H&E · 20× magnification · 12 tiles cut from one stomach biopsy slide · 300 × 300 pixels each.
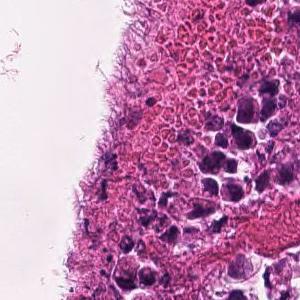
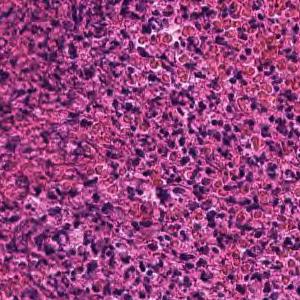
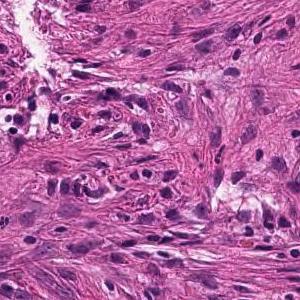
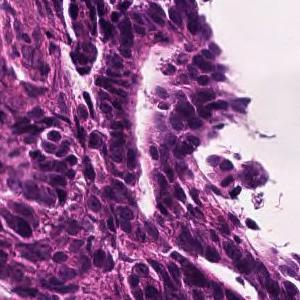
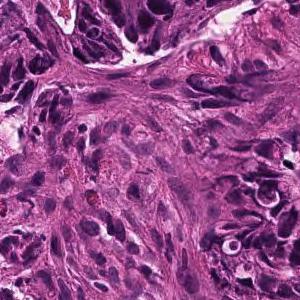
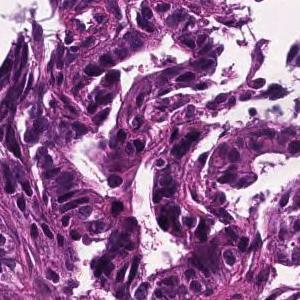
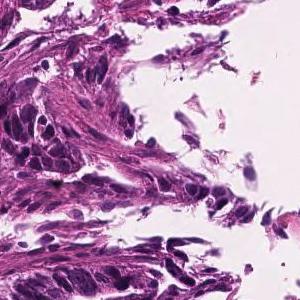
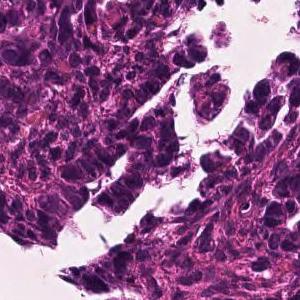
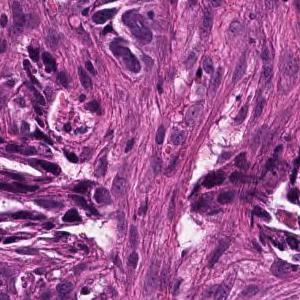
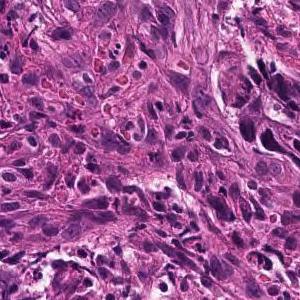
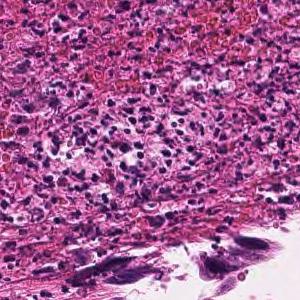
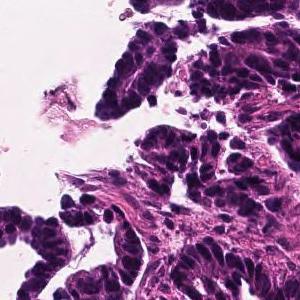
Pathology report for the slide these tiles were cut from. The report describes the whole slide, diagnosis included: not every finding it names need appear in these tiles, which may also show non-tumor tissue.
In the superficial epithelium, tumor tissue that invades by forming medium-sized to small, irregular ducts is observed. moderately differentiated tubular adenocarcinoma.
